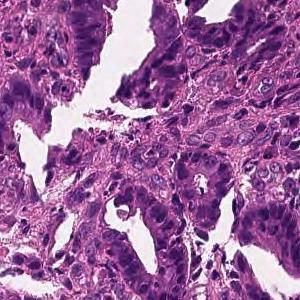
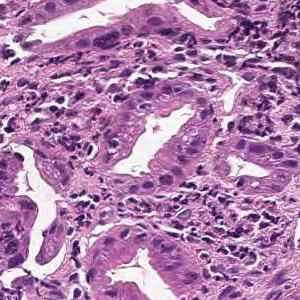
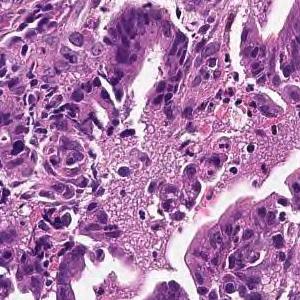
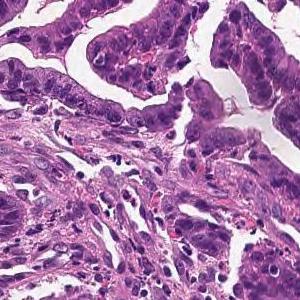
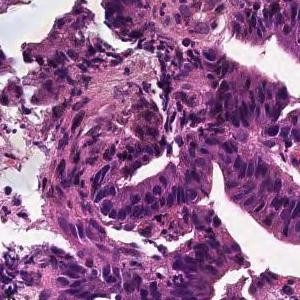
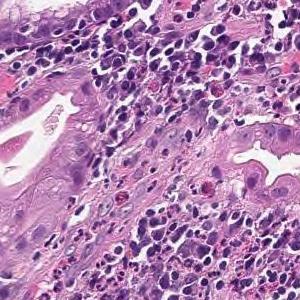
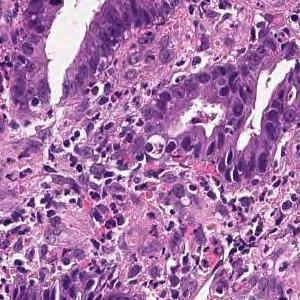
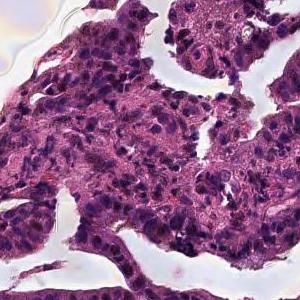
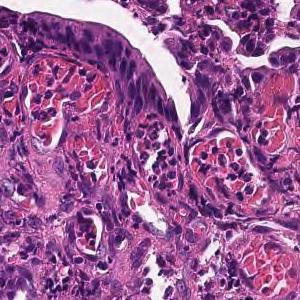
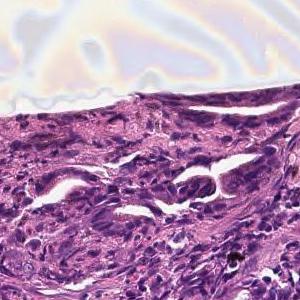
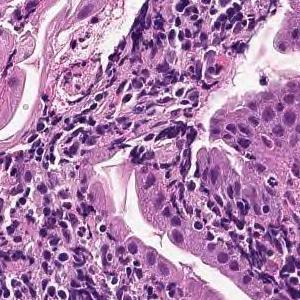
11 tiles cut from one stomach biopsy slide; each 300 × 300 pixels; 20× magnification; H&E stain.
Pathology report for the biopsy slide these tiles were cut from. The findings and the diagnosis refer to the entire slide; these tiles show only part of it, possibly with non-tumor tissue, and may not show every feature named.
From the superficial epithelium to the muscularis mucosae, tumor tissue consisting of medium-sized and irregular glandular ducts infiltrating is observed. Well differentiated tubular adenocarcinoma
